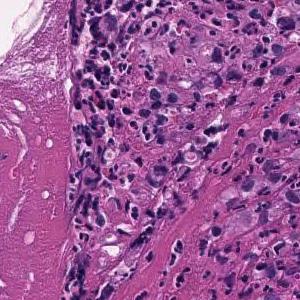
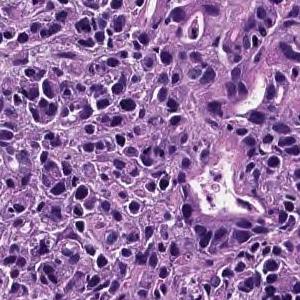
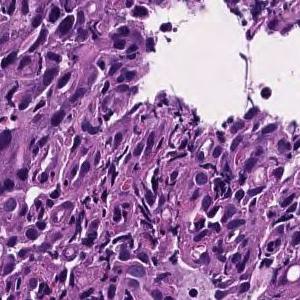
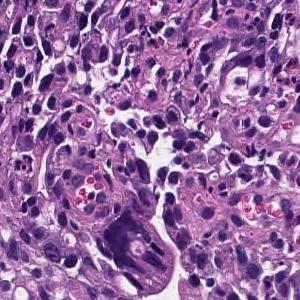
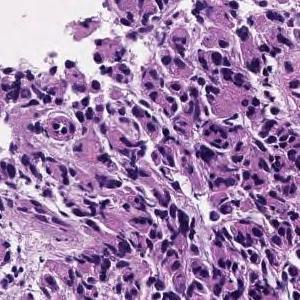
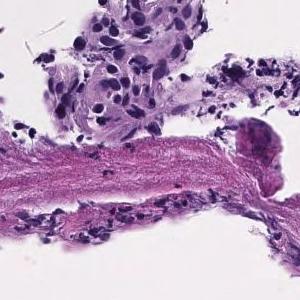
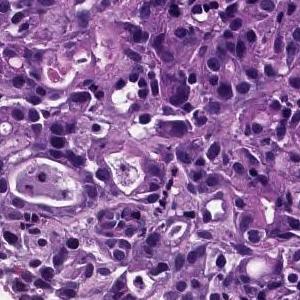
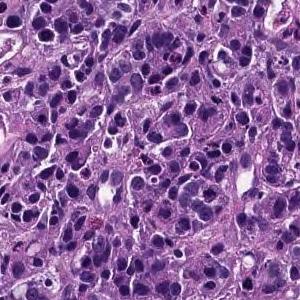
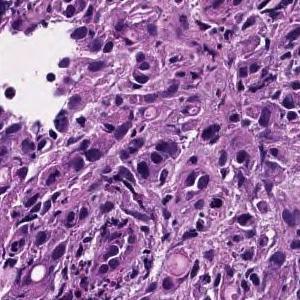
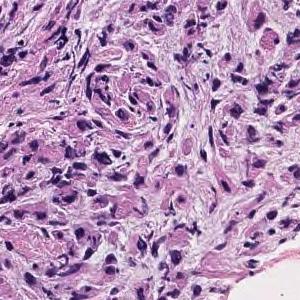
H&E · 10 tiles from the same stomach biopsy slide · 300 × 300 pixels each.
Diagnostic report for the slide these tiles come from. What the report and the diagnosis say applies to the whole slide; these tiles may miss some of the features named and may include tissue that is not tumor.
The superficial epithelium shows a large sheet-like shape, and some tumor tissue infiltrates with small irregular ducts. Poorly differentiated adenocarcinoma, solid-type
Classified as poorly differentiated adenocarcinoma, solid type, a category of the Japanese Classification of Gastric Carcinoma; in the WHO 2019 classification it is tubular adenocarcinoma, poorly differentiated.
